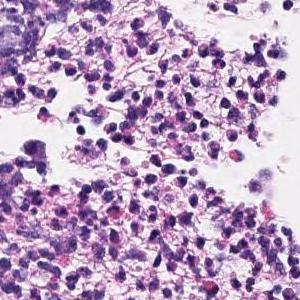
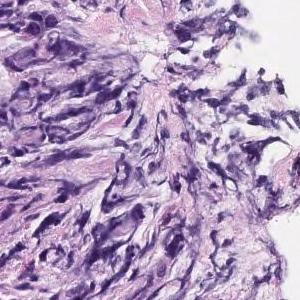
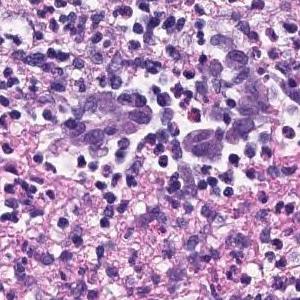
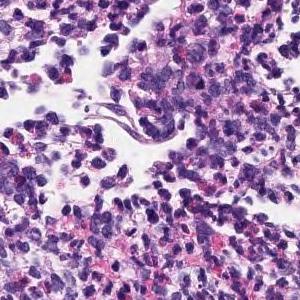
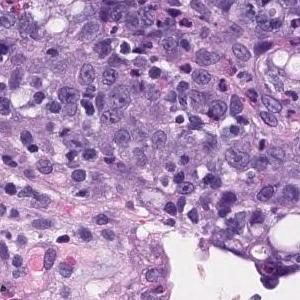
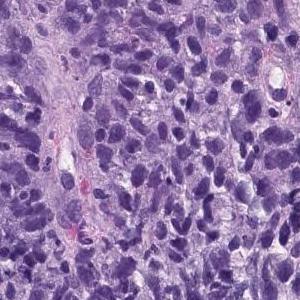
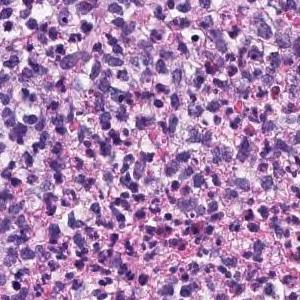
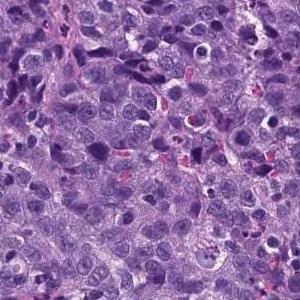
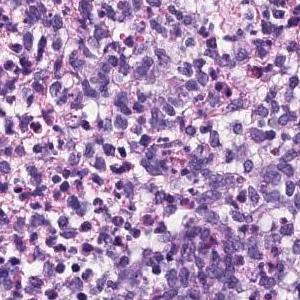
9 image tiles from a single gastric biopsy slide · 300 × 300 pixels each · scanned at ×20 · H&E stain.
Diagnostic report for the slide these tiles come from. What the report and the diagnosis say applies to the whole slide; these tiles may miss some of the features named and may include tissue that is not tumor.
The superficial epithelium shows a large sheet-like shape, and some tumor tissue infiltrates with small irregular ducts. Poorly differentiated adenocarcinoma, solid-type
Classified as poorly differentiated adenocarcinoma, solid type, a category of the Japanese Classification of Gastric Carcinoma; in the WHO 2019 classification it is tubular adenocarcinoma, poorly differentiated.
